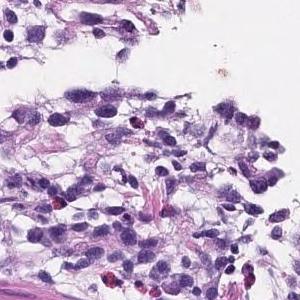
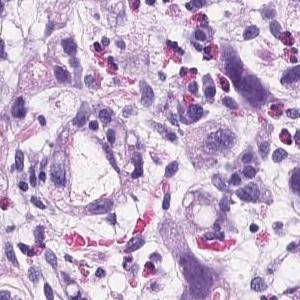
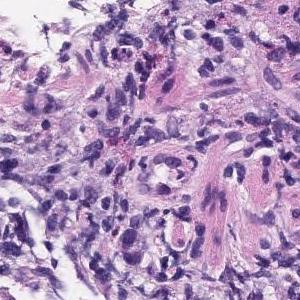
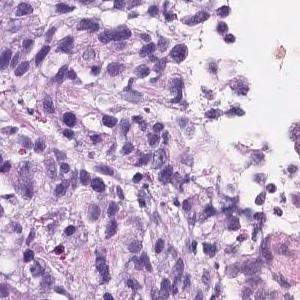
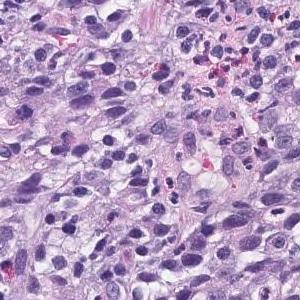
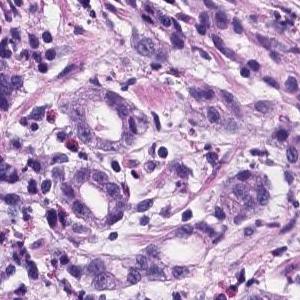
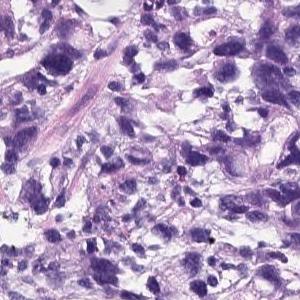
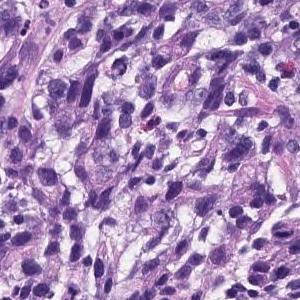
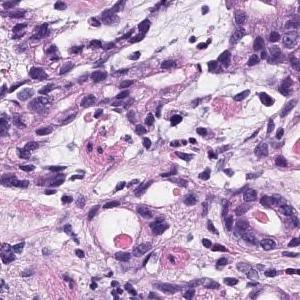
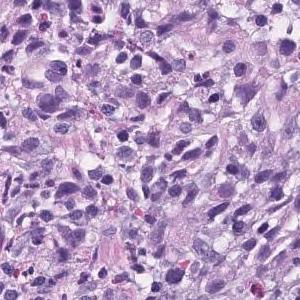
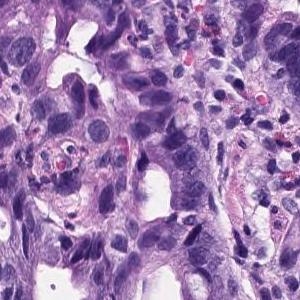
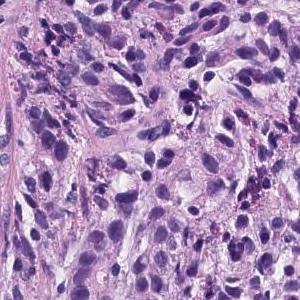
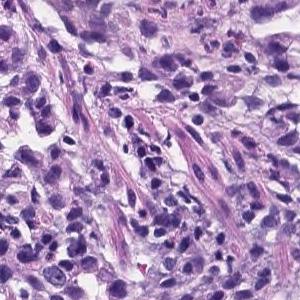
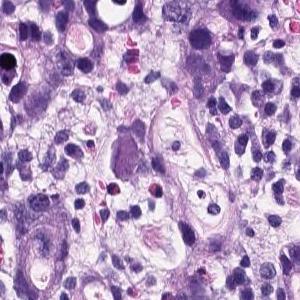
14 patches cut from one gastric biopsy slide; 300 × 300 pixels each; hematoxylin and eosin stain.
Pathology report for the slide these tiles were cut from. The report and the diagnosis describe the slide as a whole, so these tiles may not show every feature named and may include non-tumor tissue.
There are atypical l cells with atypical nuclei forming cord-like or irregular atypical ducts from solidity and proliferating in a comprehensive manner. Poorly differentiated adenocarcinoma, Moderately differentiated adenocarcinoma (poorly differentiated adenocarcinoma, solid type moderately differentiated tubular adenocarcinoma)
Subtype: Moderately to poorly differentiated adenocarcinoma.
The solid type named here is a Japanese Classification of Gastric Carcinoma category; WHO 2019 calls it tubular adenocarcinoma, poorly differentiated.
